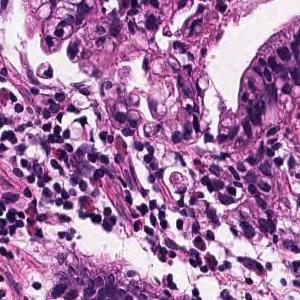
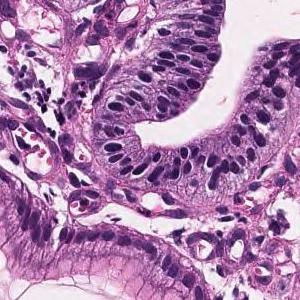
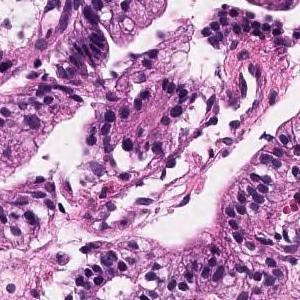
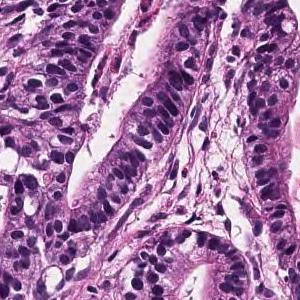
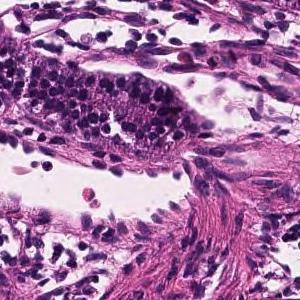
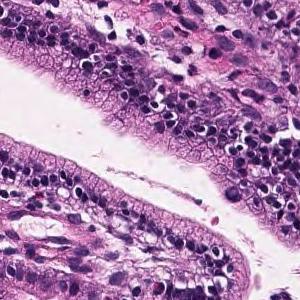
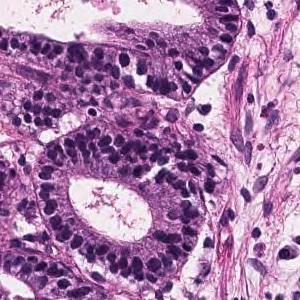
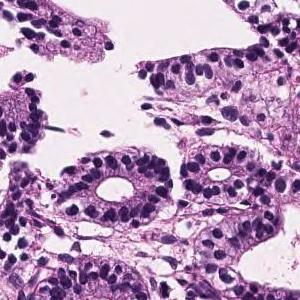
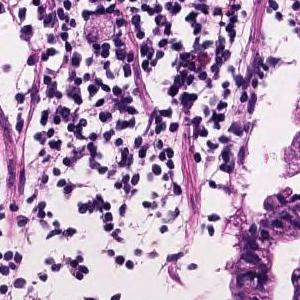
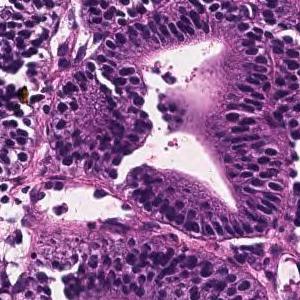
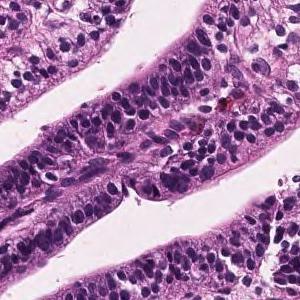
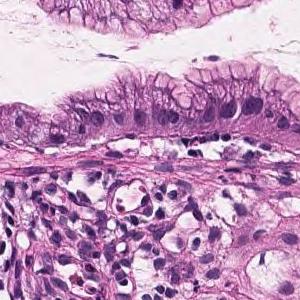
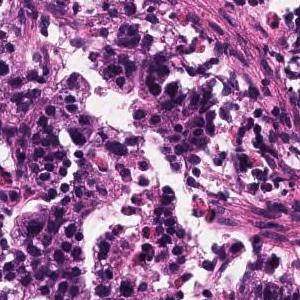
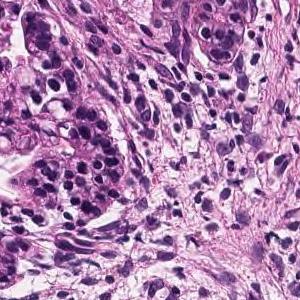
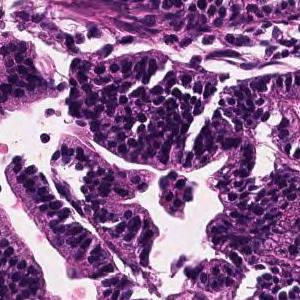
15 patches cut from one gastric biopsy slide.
Pathology report for the biopsy slide these tiles were cut from. The report and the diagnosis describe the slide as a whole, so these tiles may not show every feature named and may include non-tumor tissue.
Tumor tissue consisting of large papillary structures or irregular glandular ducts partially fused and infiltrated is observed in the superficial epithelium. Well to moderately differentiated tubular adenocarcinoma.
The dataset labels this slide moderately differentiated tubular adenocarcinoma.
